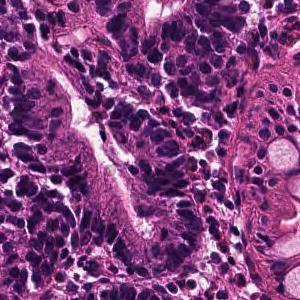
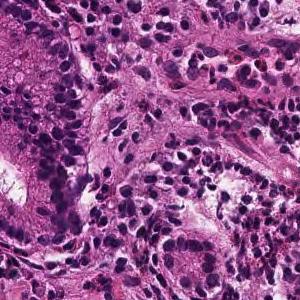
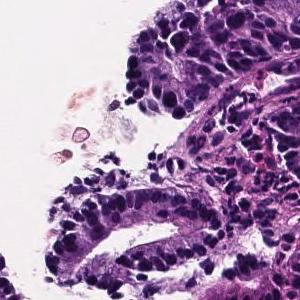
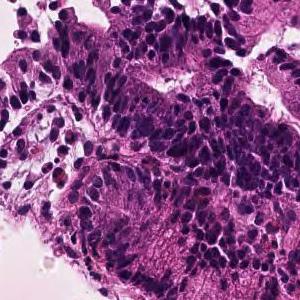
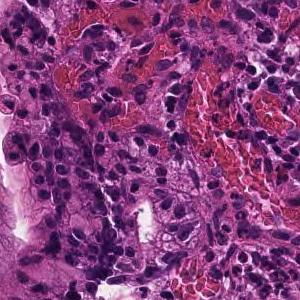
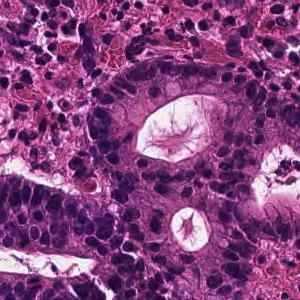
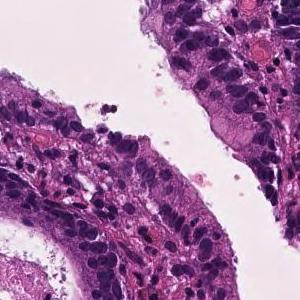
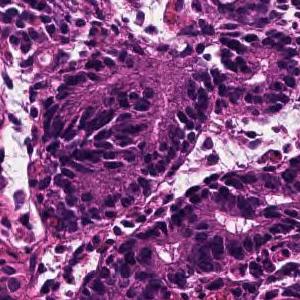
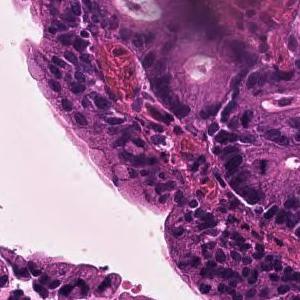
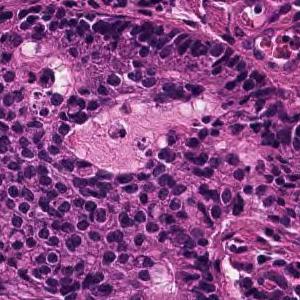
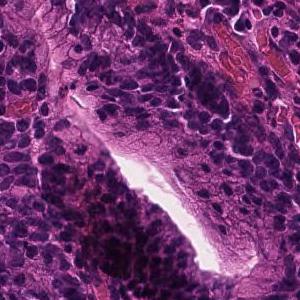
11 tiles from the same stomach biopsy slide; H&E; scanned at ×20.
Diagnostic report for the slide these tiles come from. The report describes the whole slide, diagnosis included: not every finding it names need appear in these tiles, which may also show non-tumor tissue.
In the superficial epithelium, tumor tissue that invades by forming medium-sized to small, irregular ducts is observed. moderately differentiated tubular adenocarcinoma.
